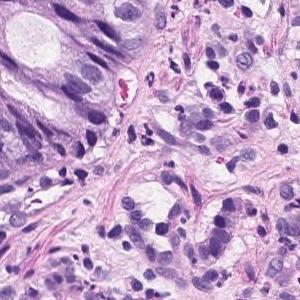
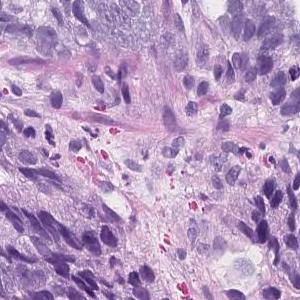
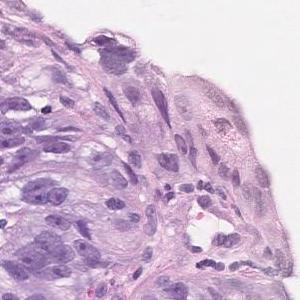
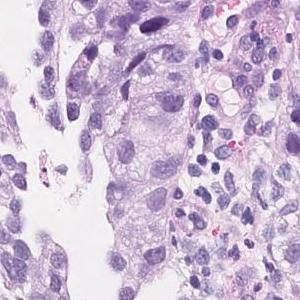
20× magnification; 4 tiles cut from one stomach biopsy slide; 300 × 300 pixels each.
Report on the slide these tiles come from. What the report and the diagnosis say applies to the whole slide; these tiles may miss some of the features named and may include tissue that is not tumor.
On the superficial epithelium, tumor tissue consisting of an image of large, irregular glandular ducts partially fused and infiltrated is observed. Well to moderately differentiated tubular adenocarcinoma
